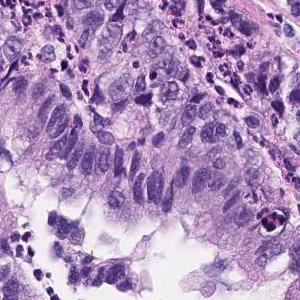
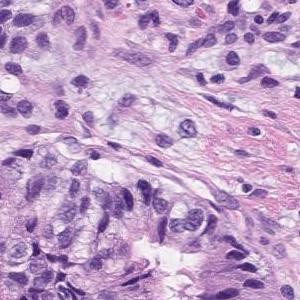
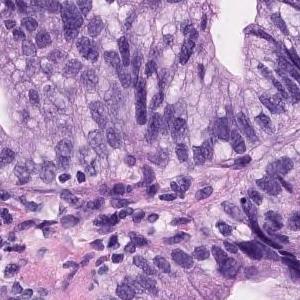
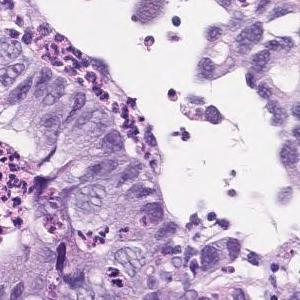
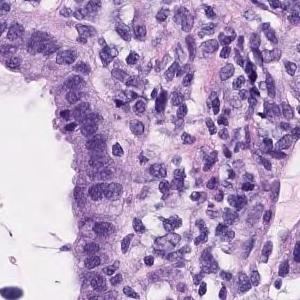
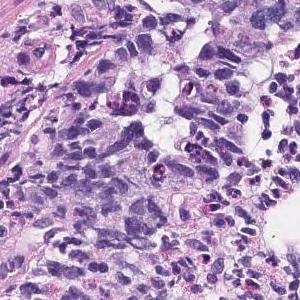
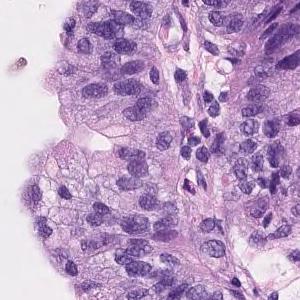
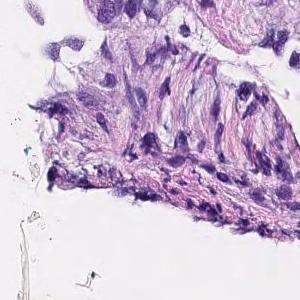
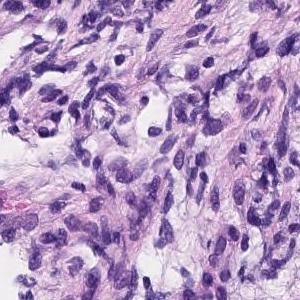
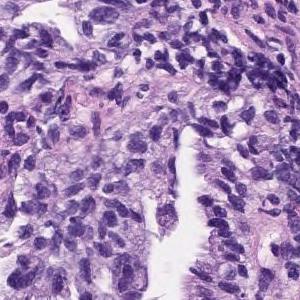
10 tiles from the same stomach biopsy slide, each 300 × 300 pixels.
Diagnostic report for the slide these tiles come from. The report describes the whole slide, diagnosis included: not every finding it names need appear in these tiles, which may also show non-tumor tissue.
Tumor cells are large, highly columnar, large club-shaped nuclei, and are associated with chromatin aggregation. Papillary adenocarcinoma.
